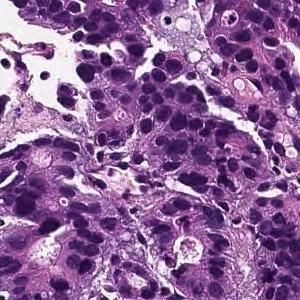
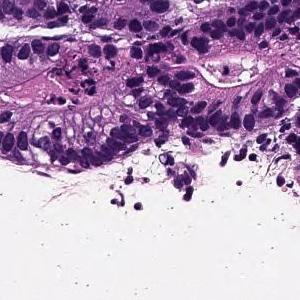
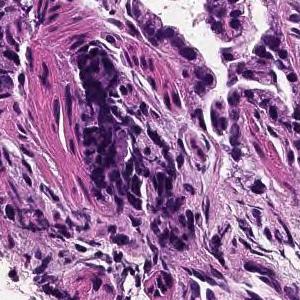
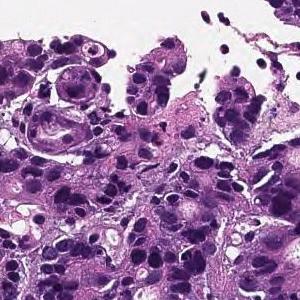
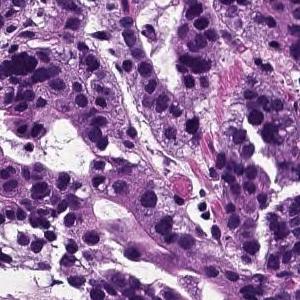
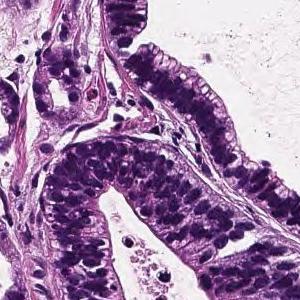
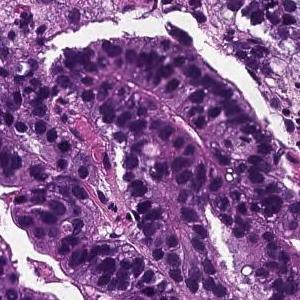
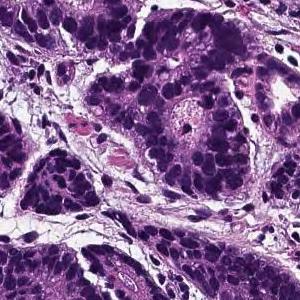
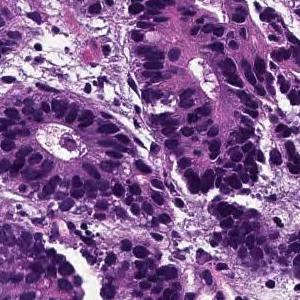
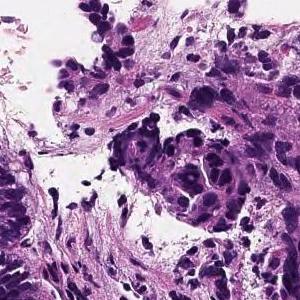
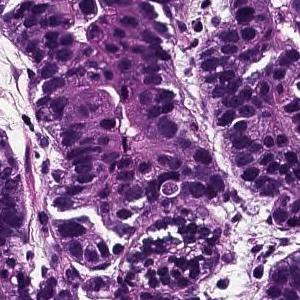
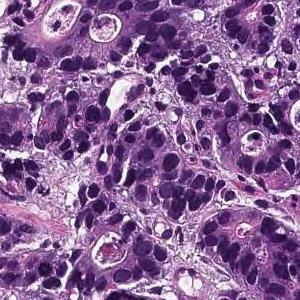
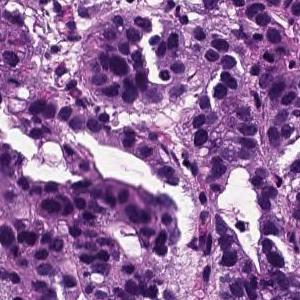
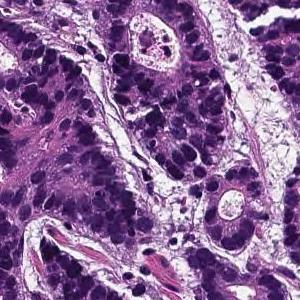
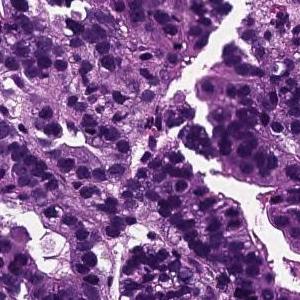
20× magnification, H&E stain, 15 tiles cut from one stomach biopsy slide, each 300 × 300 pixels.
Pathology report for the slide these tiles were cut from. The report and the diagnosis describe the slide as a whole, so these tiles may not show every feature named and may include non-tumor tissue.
On the superficial epithelium, tumor tissue is found in which medium-sized irregular gland ducts fuse with each other and infiltrate. moderately differentiated tubular adenocarcinoma
